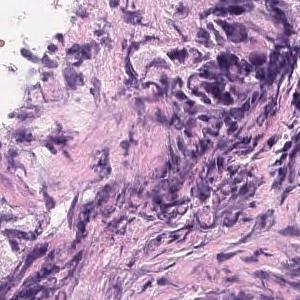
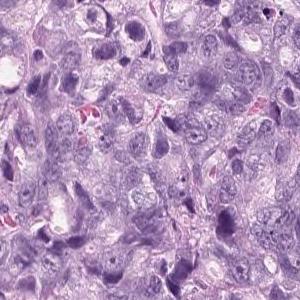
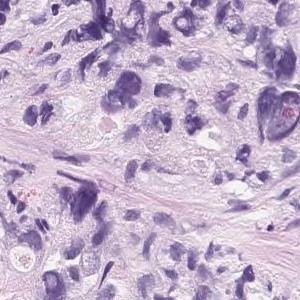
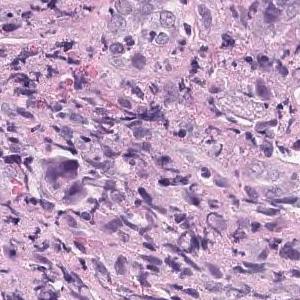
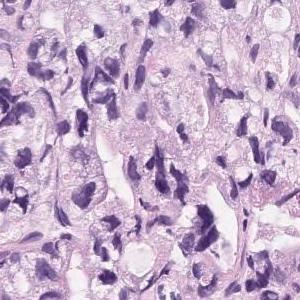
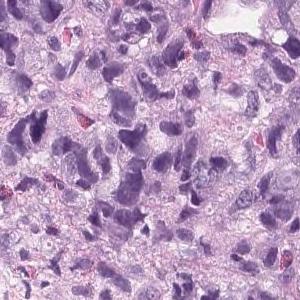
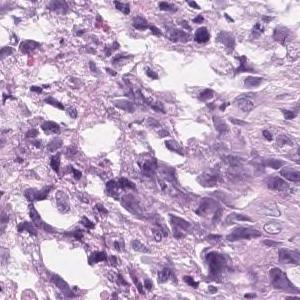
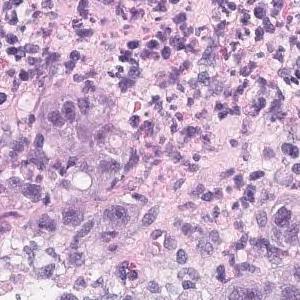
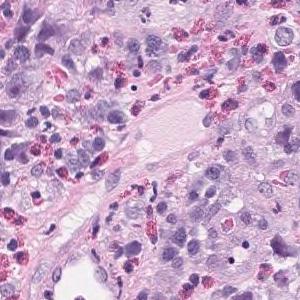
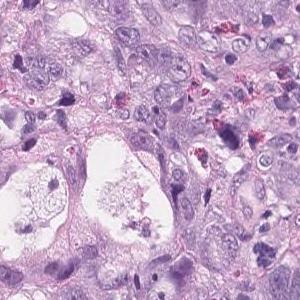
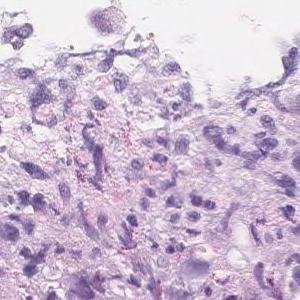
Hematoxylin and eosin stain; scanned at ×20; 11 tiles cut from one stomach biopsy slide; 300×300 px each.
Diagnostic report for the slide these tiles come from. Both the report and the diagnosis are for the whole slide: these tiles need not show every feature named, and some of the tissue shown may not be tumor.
Tumor tissue that infiltrates and proliferates by forming small glandular cavities in the superficial layer to the submucosa or forming a mass is observed. moderately differentiated tubular adenocarcinoma
